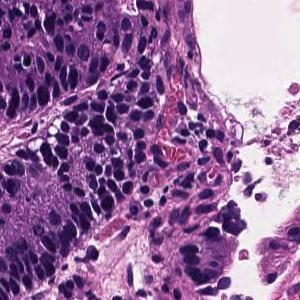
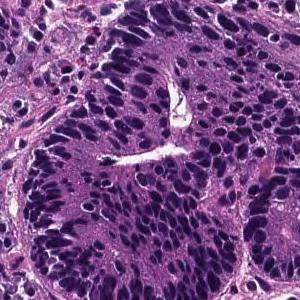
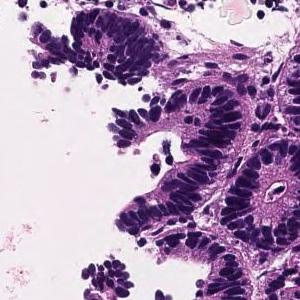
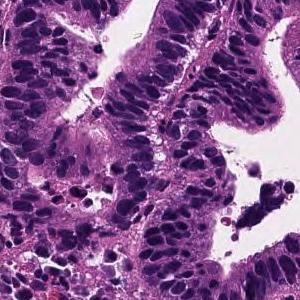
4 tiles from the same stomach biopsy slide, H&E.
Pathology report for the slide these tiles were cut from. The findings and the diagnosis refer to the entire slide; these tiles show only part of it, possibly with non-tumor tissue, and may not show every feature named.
Tumor tissue in which medium to small irregular ducts infiltrate and proliferate in the submucosa can be seen in the epithelium. Well differentiated tubular adenocarcinoma
